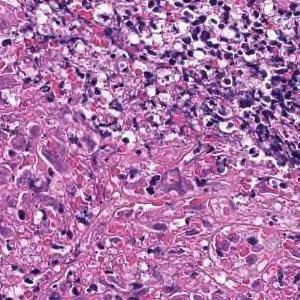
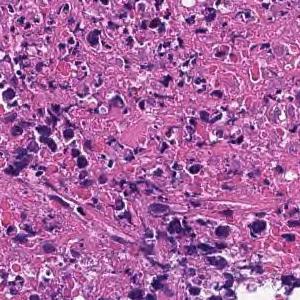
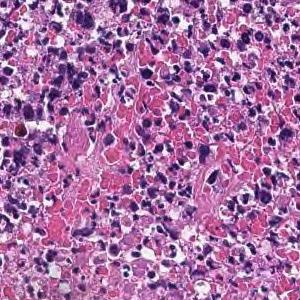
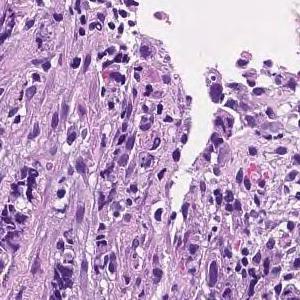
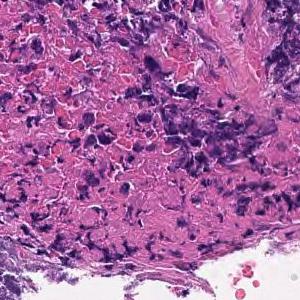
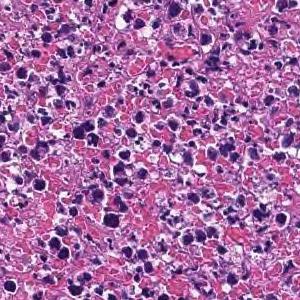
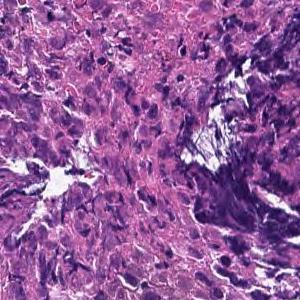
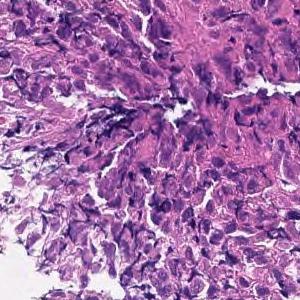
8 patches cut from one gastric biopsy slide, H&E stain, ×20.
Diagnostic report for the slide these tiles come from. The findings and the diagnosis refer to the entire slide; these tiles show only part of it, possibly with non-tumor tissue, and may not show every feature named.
Most are composed of coagulative necrotic tissue, but some show a large sheet-like shape, and some show tumor tissue infiltrating with a small cord-like structure. Poorly differentiated adenocarcinoma, solid-type
Subtype: Poorly differentiated adenocarcinoma, solid type, a category of the Japanese Classification of Gastric Carcinoma; in the WHO 2019 classification it is tubular adenocarcinoma, poorly differentiated.
